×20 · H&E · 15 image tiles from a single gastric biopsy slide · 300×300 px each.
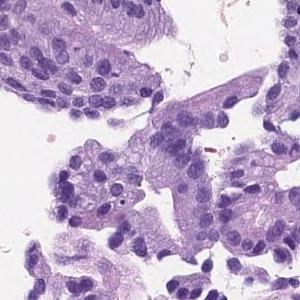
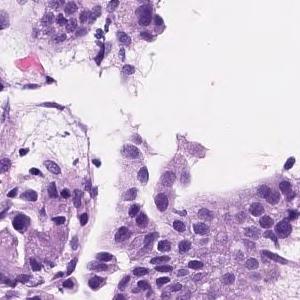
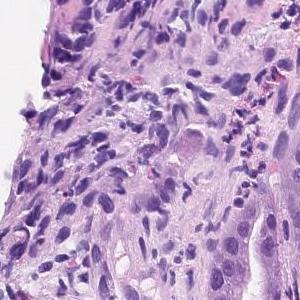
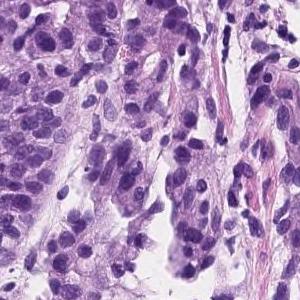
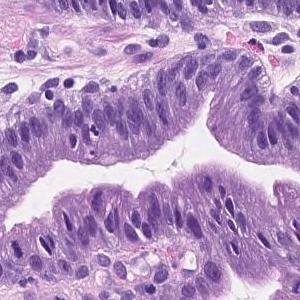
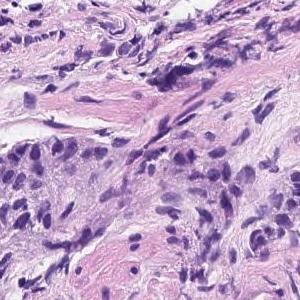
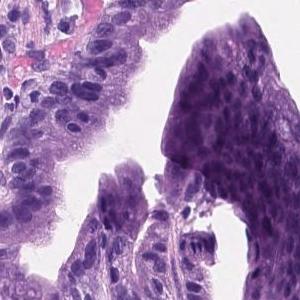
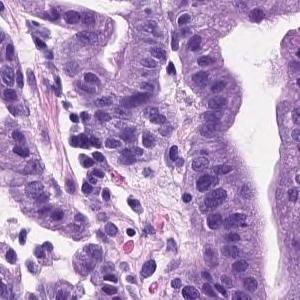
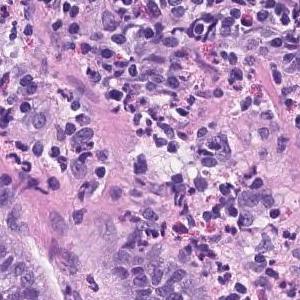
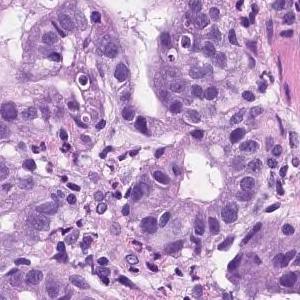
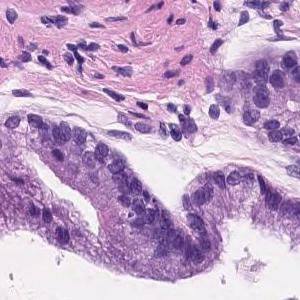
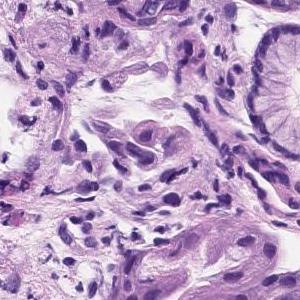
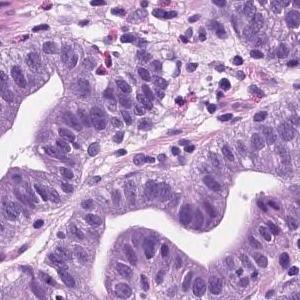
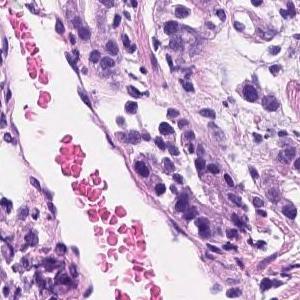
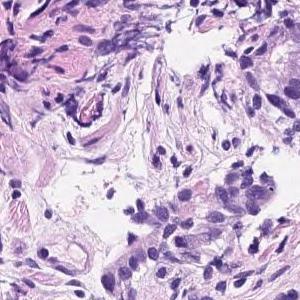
Diagnostic report for the slide these tiles come from. The report and the diagnosis describe the slide as a whole, so these tiles may not show every feature named and may include non-tumor tissue.
Tumor tissue consisting of medium-sized and irregular ducts is observed infiltrating in the superficial epithelium. Tumor cells are highly columnar, with nuclei aligned basolaterally and polarized. Well differentiated tubular adenocarcinoma.
